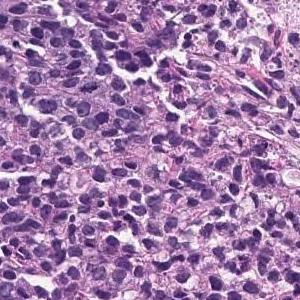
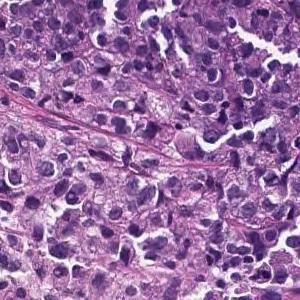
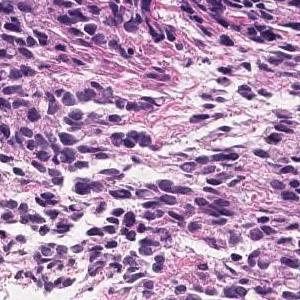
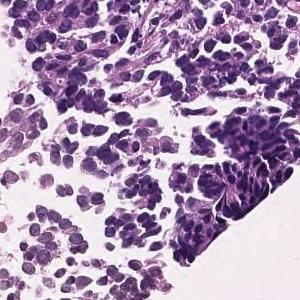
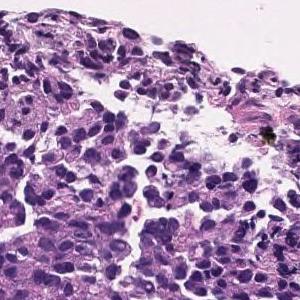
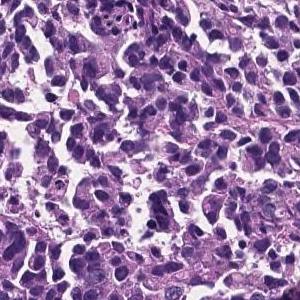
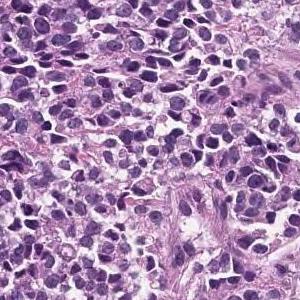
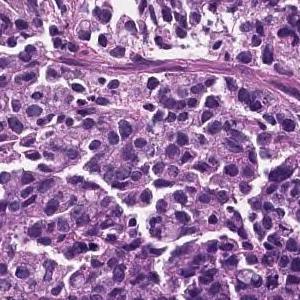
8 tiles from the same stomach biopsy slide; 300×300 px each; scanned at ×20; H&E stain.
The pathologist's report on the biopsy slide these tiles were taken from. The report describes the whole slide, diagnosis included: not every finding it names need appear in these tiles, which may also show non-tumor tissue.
The superficial epithelium shows a large sheet-like shape, and some tumor tissue infiltrates with small irregular ducts. Poorly differentiated adenocarcinoma, solid-type
Classified as poorly differentiated adenocarcinoma, solid type. This name comes from the Japanese Classification of Gastric Carcinoma; the WHO 2019 classification calls it tubular adenocarcinoma, poorly differentiated.
